16 image tiles from a single gastric biopsy slide, hematoxylin and eosin stain, ×20.
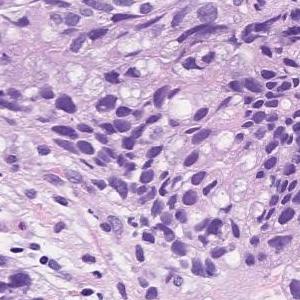
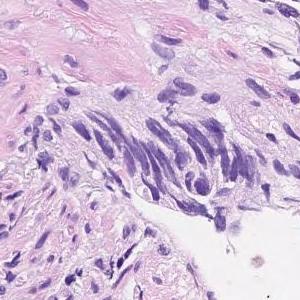
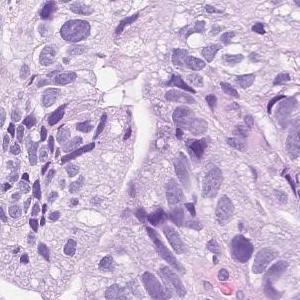
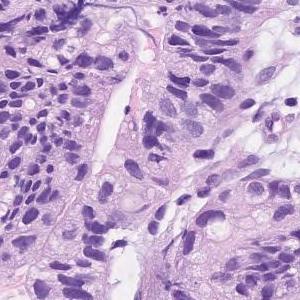
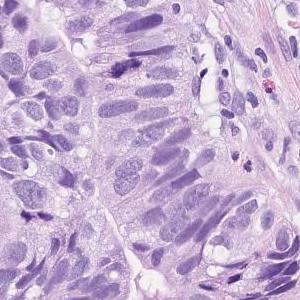
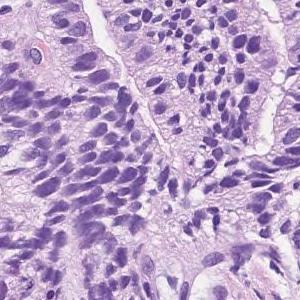
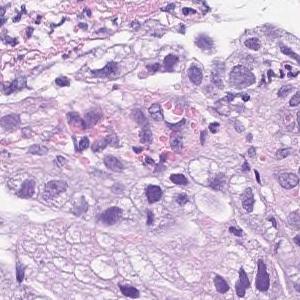
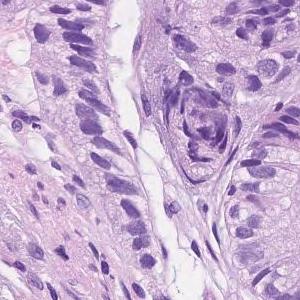
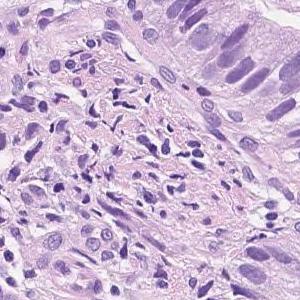
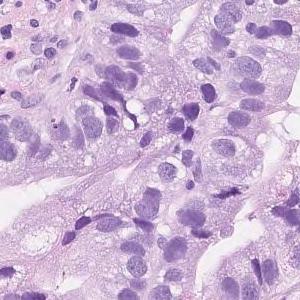
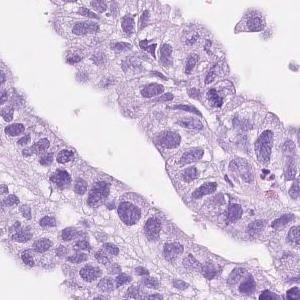
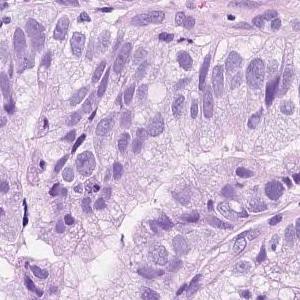
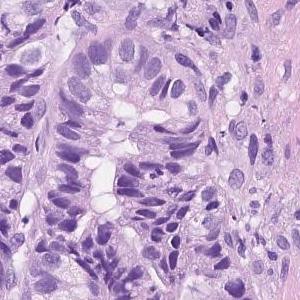
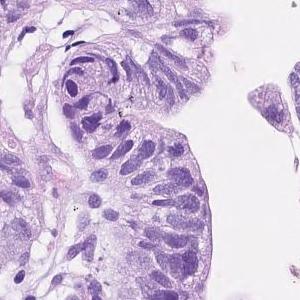
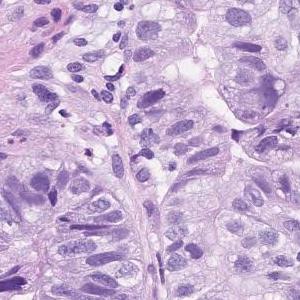
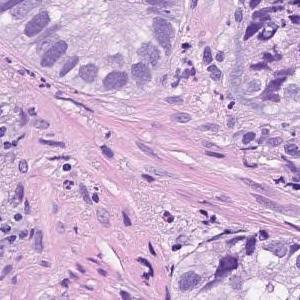
Pathology report for the slide these tiles were cut from. The findings and the diagnosis refer to the entire slide; these tiles show only part of it, possibly with non-tumor tissue, and may not show every feature named.
Atypical l cells with atypical nuclei forming solid or diffuse vesicles or small irregular atypical ducts and growing in a complex manner. moderately differentiated tubular adenocarcinoma
